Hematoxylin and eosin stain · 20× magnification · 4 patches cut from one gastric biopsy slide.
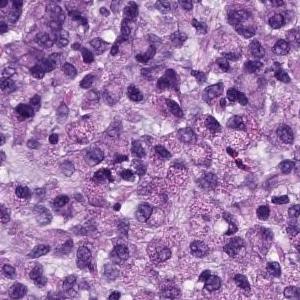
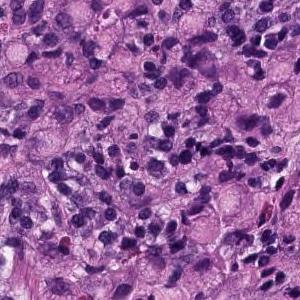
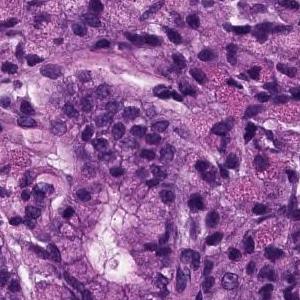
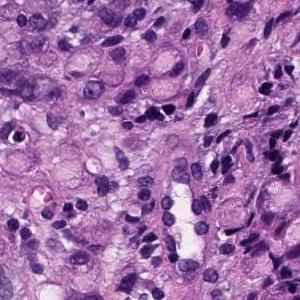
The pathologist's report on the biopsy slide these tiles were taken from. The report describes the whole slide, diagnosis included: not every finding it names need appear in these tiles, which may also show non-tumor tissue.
The superficial epithelium shows a large sheet-like shape, and some tumor tissue infiltrates with small irregular ducts. Poorly differentiated adenocarcinoma, solid-type
Classified as poorly differentiated adenocarcinoma, solid type. This name comes from the Japanese Classification of Gastric Carcinoma; the WHO 2019 classification calls it tubular adenocarcinoma, poorly differentiated.
